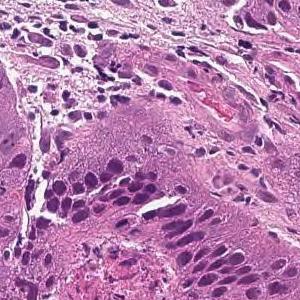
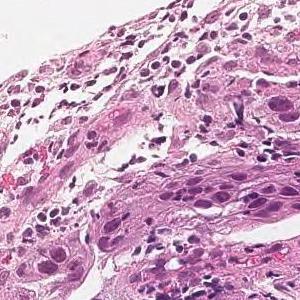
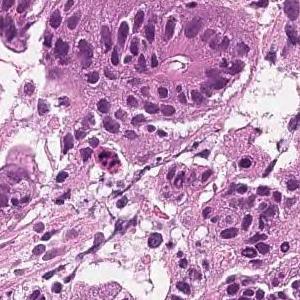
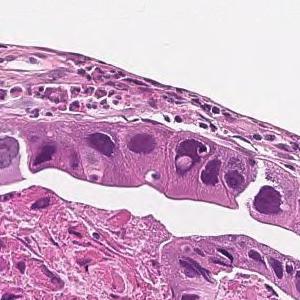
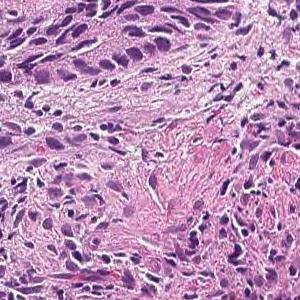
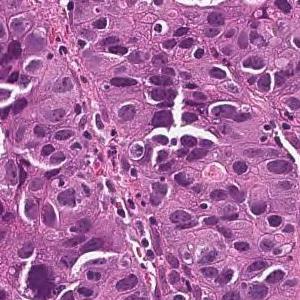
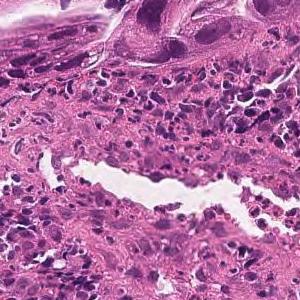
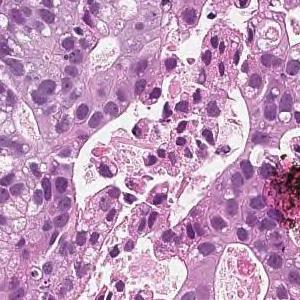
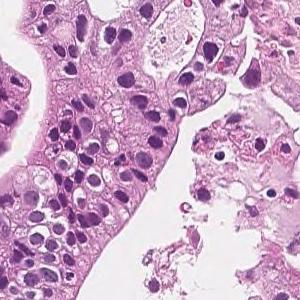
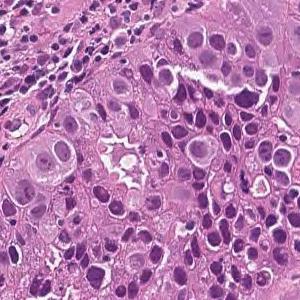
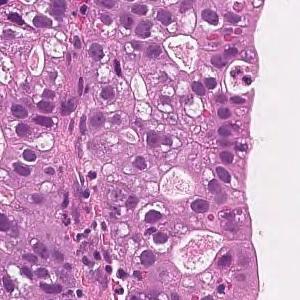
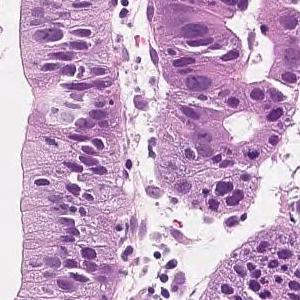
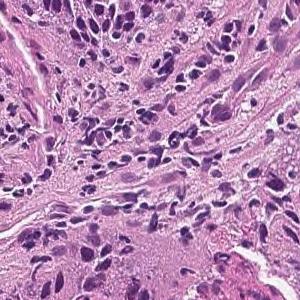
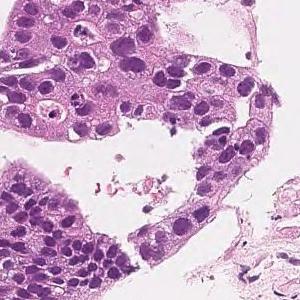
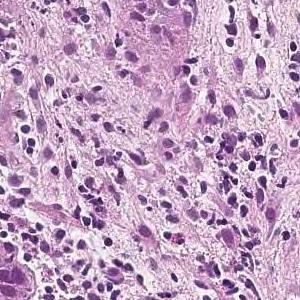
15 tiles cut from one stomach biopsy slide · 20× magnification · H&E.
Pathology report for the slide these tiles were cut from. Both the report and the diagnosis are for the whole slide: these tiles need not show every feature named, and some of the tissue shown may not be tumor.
In the superficial epithelium, tumor tissue that invades by forming medium-sized to small, irregular ducts is observed. moderately differentiated tubular adenocarcinoma.
